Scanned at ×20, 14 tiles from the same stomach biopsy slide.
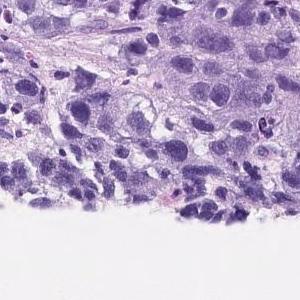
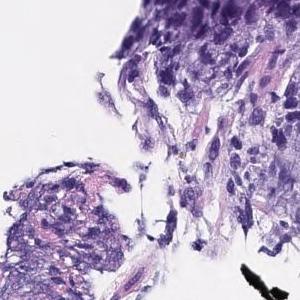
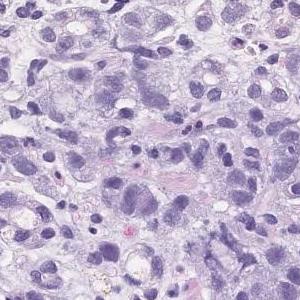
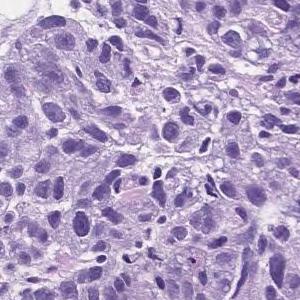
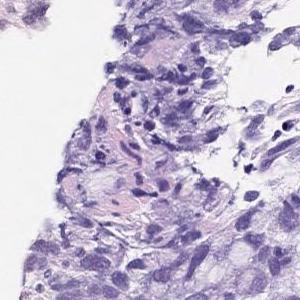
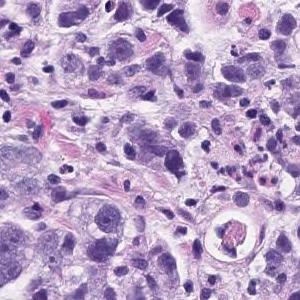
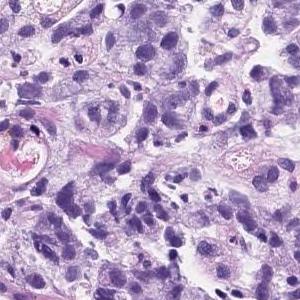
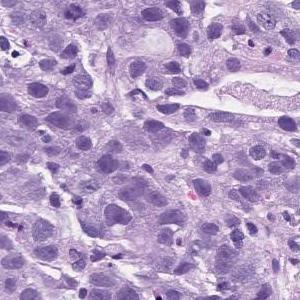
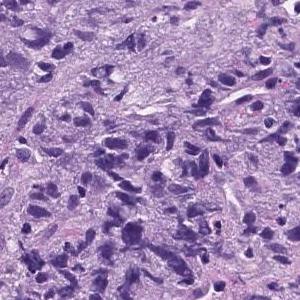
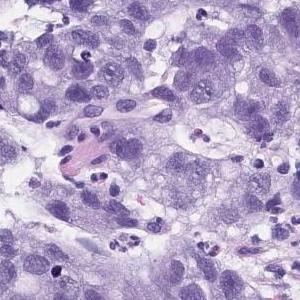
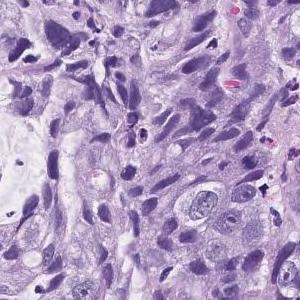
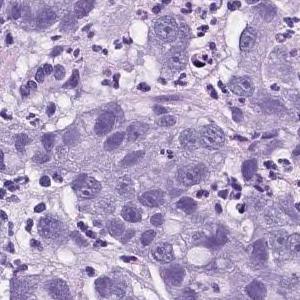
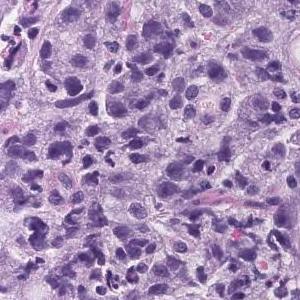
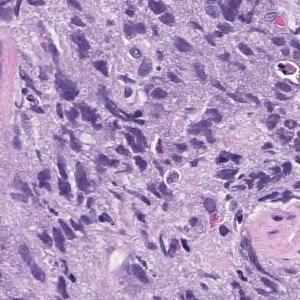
Pathology report for the biopsy slide these tiles were cut from. The report describes the whole slide, diagnosis included: not every finding it names need appear in these tiles, which may also show non-tumor tissue.
Atypical l cells with atypical nuclei forming solid vesicles or small irregular atypical ducts that proliferate in a complex manner. poorly differentiated adenocarcinoma, solid type, moderately differentiated tubular adenocarcinoma
"Solid type" is a category of the Japanese Classification of Gastric Carcinoma; in the WHO 2019 classification it is tubular adenocarcinoma, poorly differentiated.
